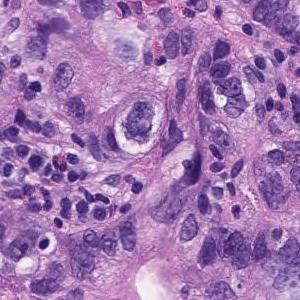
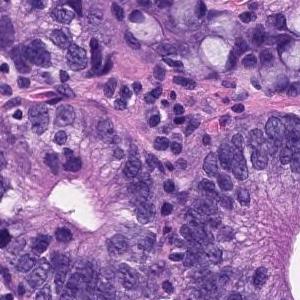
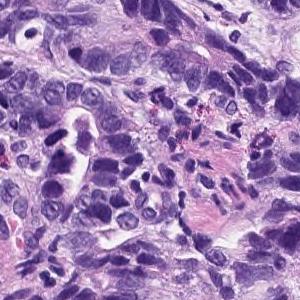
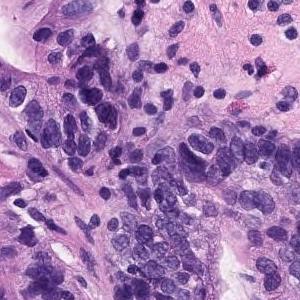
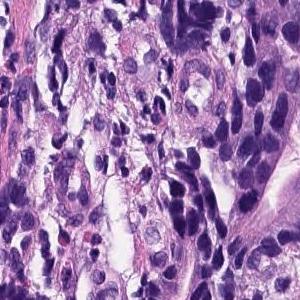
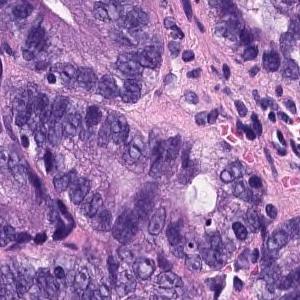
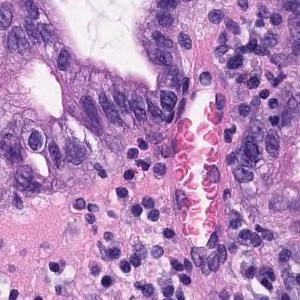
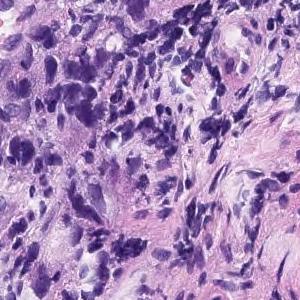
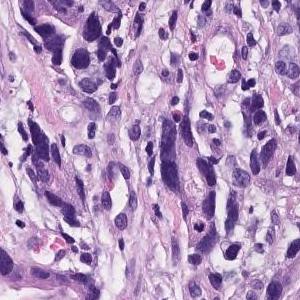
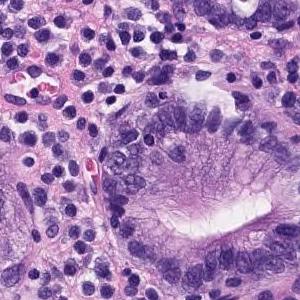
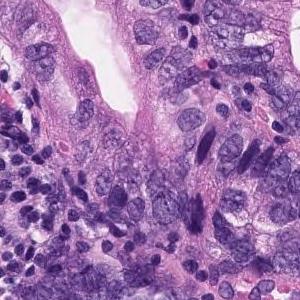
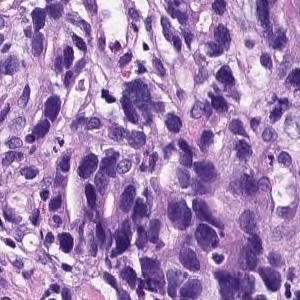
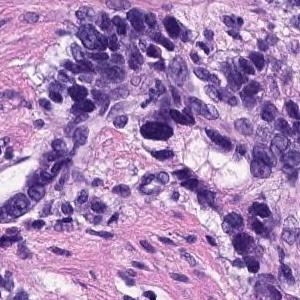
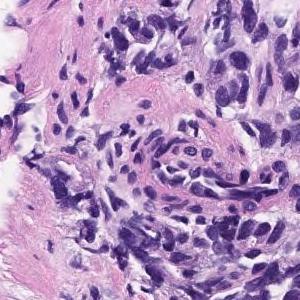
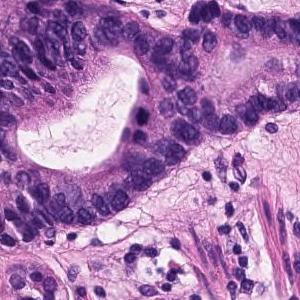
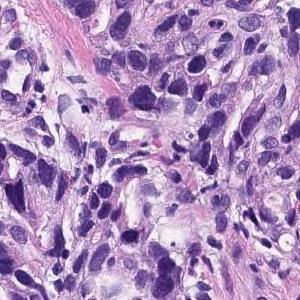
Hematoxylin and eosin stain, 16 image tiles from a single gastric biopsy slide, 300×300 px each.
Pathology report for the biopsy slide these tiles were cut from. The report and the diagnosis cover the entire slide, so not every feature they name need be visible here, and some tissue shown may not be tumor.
On the superficial epithelium, tumor tissue consisting of images showing invasive growth with small, irregular tubules partially fused is observed. moderately differentiated tubular adenocarcinoma
